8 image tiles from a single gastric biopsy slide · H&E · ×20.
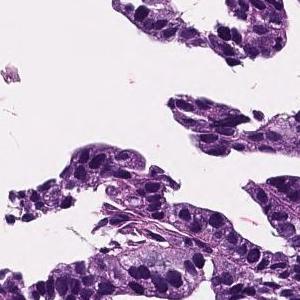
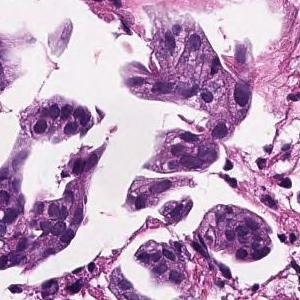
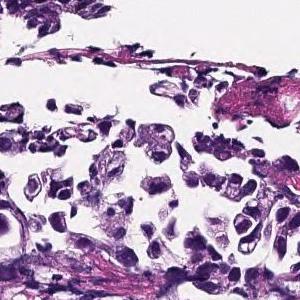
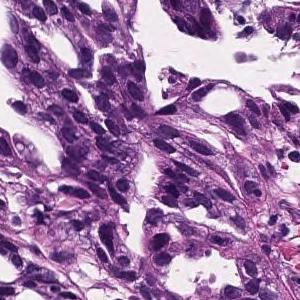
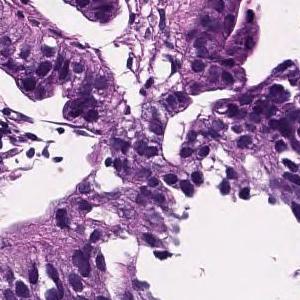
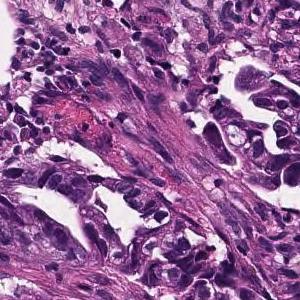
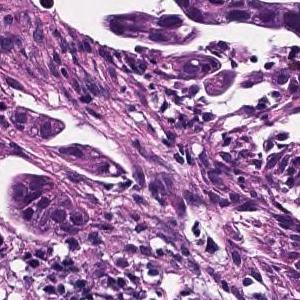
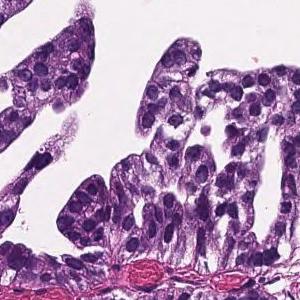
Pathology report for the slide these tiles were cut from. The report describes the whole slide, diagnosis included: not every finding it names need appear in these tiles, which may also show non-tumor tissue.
In the lamina propria, tumor tissue that invades by forming medium-sized to small, irregular glandular ducts is observed. moderately differentiated tubular adenocarcinoma
